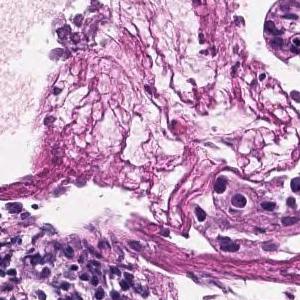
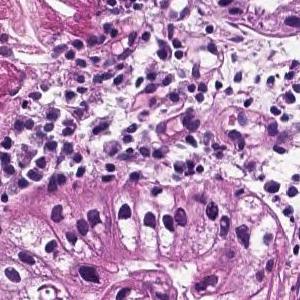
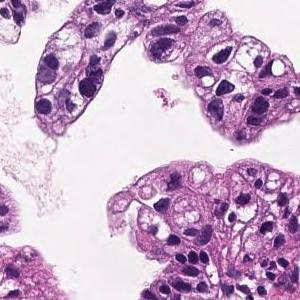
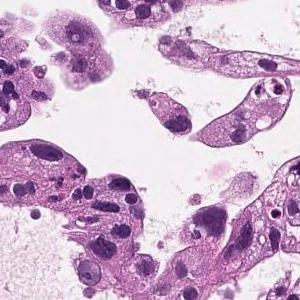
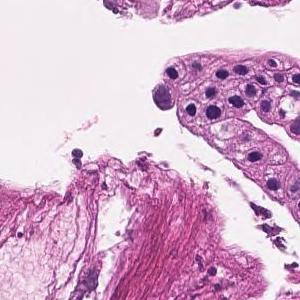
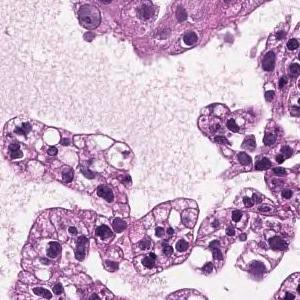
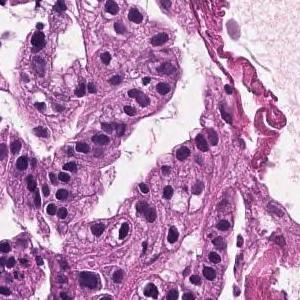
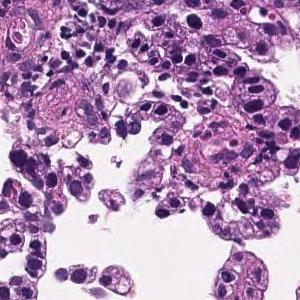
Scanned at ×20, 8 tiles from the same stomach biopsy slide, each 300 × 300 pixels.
Pathology report for the slide these tiles were cut from. The findings and the diagnosis refer to the entire slide; these tiles show only part of it, possibly with non-tumor tissue, and may not show every feature named.
On the superficial epithelium, tumor tissue that infiltrates by forming medium-sized papillary or small irregular ducts is observed. Papillary adenocarcinoma
